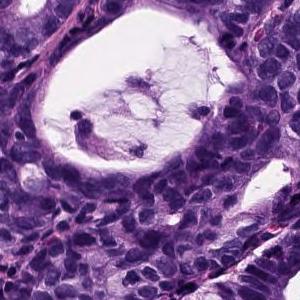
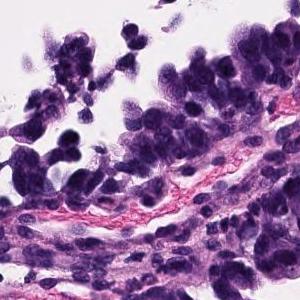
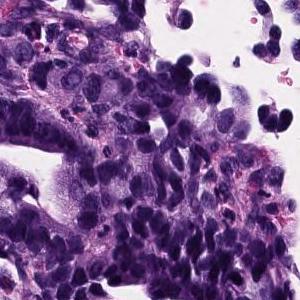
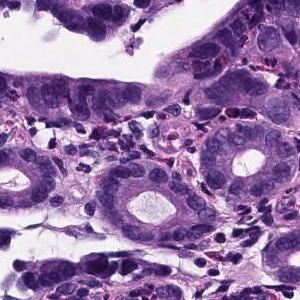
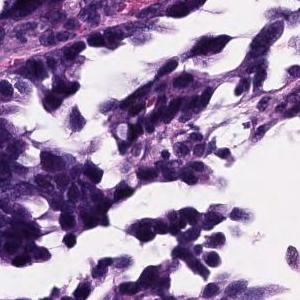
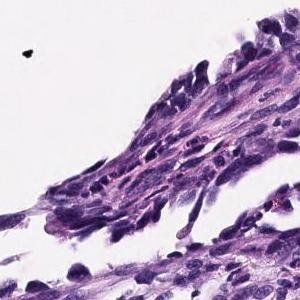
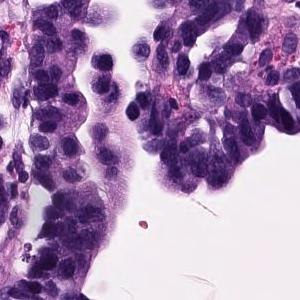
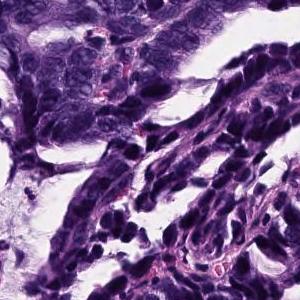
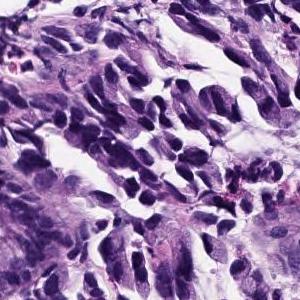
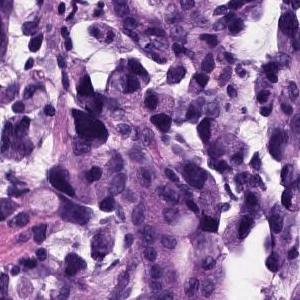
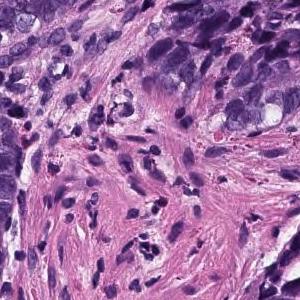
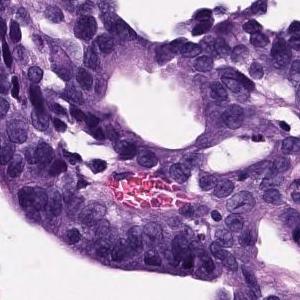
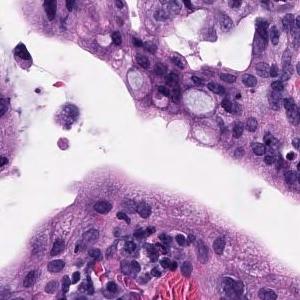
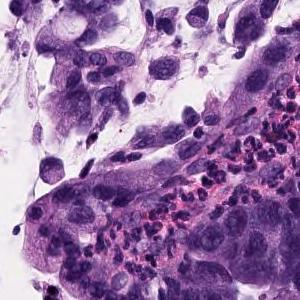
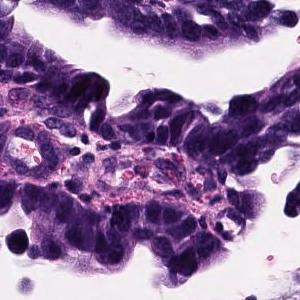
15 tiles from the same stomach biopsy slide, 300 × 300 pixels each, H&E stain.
Pathology report for the biopsy slide these tiles were cut from. The report describes the whole slide, diagnosis included: not every finding it names need appear in these tiles, which may also show non-tumor tissue.
Atypical epithelium proliferating showing villus construction and irregular gland duct construction is observed. Moderately differentiated tubular adenocarcinoma.
